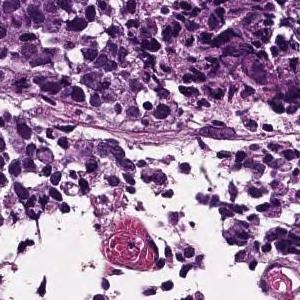
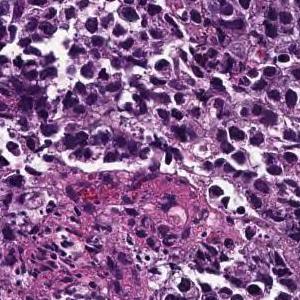
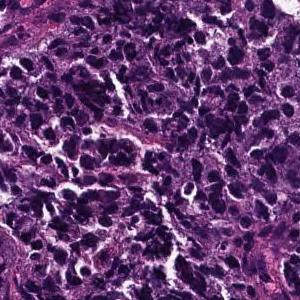
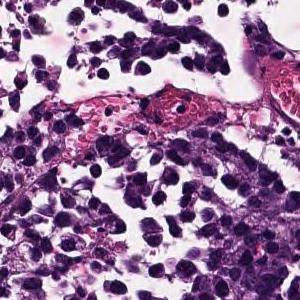
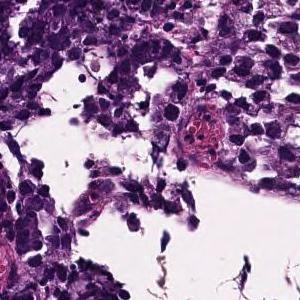
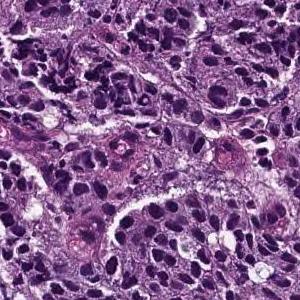
6 patches cut from one gastric biopsy slide · 300×300 px each · scanned at ×20 · H&E stain.
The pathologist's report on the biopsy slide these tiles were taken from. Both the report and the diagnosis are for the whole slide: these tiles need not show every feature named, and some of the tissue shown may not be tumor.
The superficial epithelium shows a large sheet-like shape, and some tumor tissue infiltrates with small irregular ducts. Poorly differentiated adenocarcinoma, solid-type
Histologic type: Poorly differentiated adenocarcinoma, solid type (Japanese Classification of Gastric Carcinoma). The WHO 2019 equivalent is tubular adenocarcinoma, poorly differentiated.
